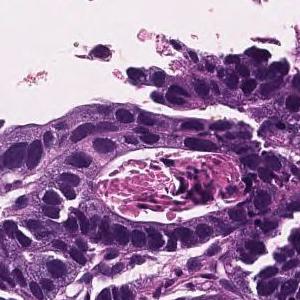
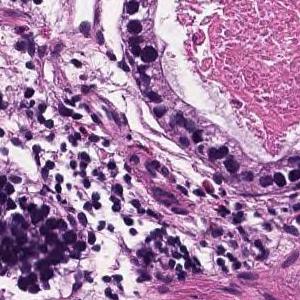
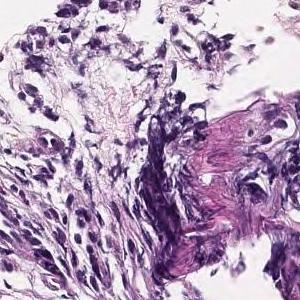
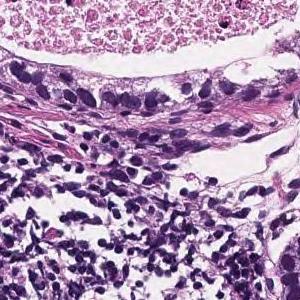
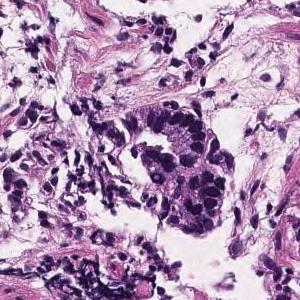
5 image tiles from a single gastric biopsy slide; each 300 × 300 pixels; H&E stain; 20× magnification.
Diagnostic report for the slide these tiles come from. The report and the diagnosis describe the slide as a whole, so these tiles may not show every feature named and may include non-tumor tissue.
In the superficial epithelium, tumor tissue that invades by forming medium-sized to small, irregular ducts is observed. Well differentiated tubular adenocarcinoma.
